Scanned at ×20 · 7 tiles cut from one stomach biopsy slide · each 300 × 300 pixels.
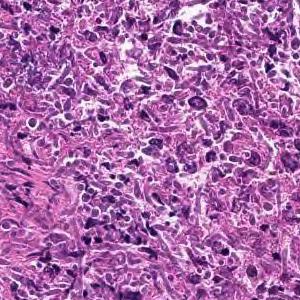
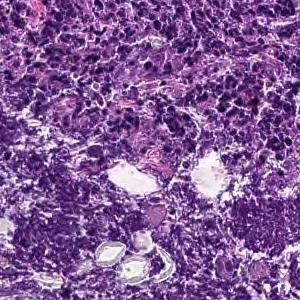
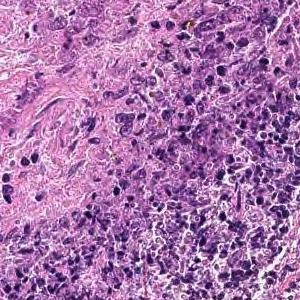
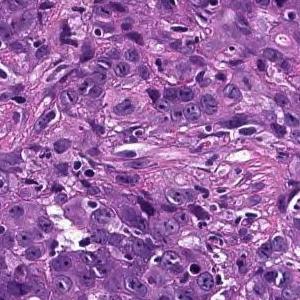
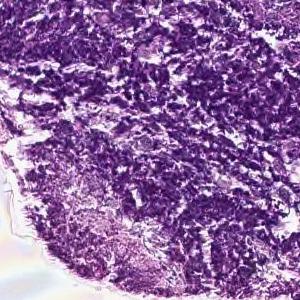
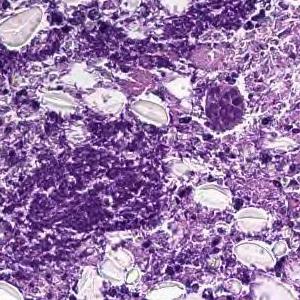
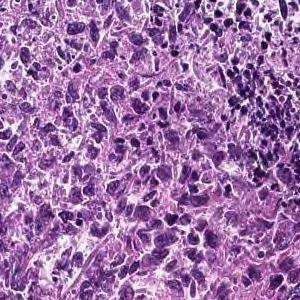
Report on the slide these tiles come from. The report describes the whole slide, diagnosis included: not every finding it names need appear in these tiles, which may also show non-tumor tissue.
Cancers with polygonal nuclei do not show glandular formation and are densely, in part, cord-like and proliferate. Poorly differentiated adenocarcinoma
Subtype: Poorly differentiated adenocarcinoma, non-solid type.
"Non-solid type" is a category of the Japanese Classification of Gastric Carcinoma.
